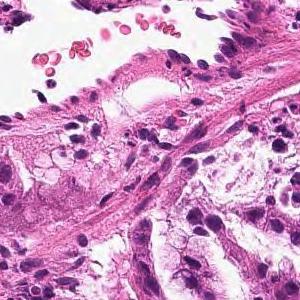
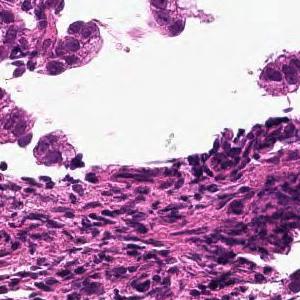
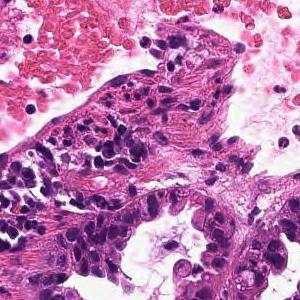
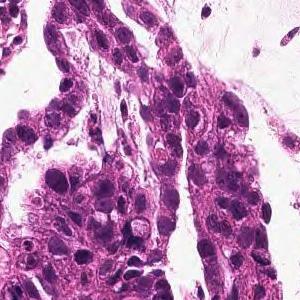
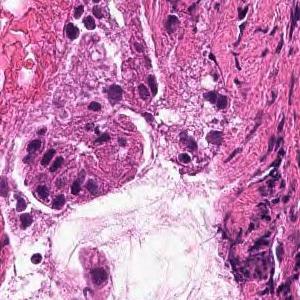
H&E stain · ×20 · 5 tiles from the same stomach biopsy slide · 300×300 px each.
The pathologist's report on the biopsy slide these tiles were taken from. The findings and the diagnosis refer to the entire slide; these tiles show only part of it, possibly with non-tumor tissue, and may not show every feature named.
From the superficial epithelium to the muscularis mucosae, tumor tissue infiltrating by forming medium-sized irregular gland ducts is observed. Well differentiated tubular adenocarcinoma
